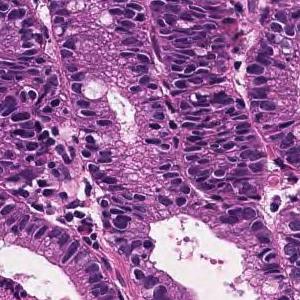
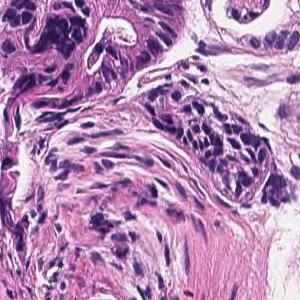
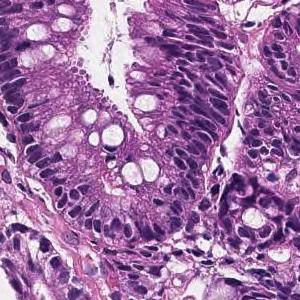
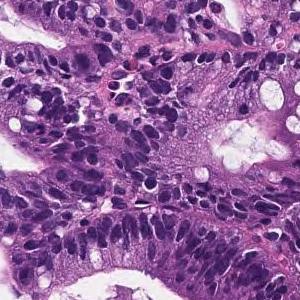
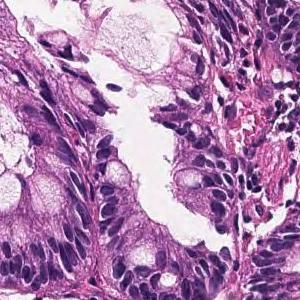
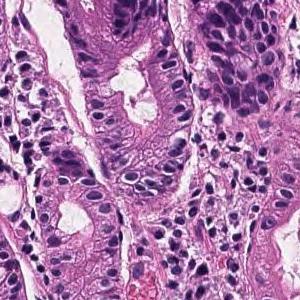
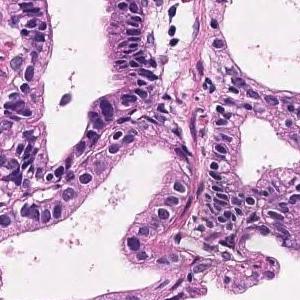
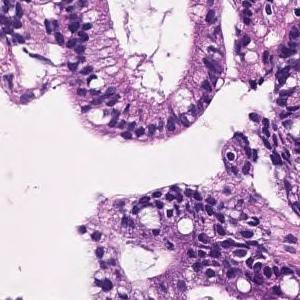
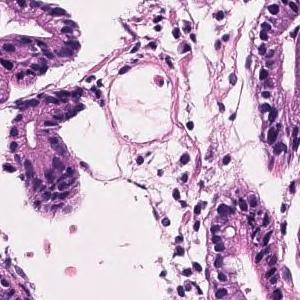
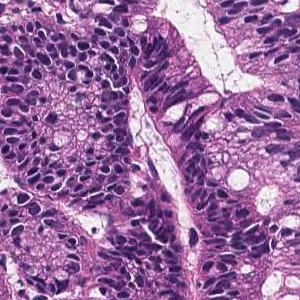
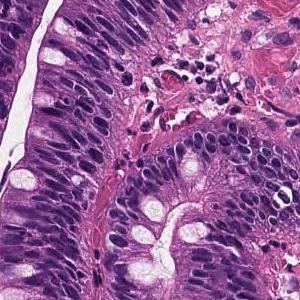
20× magnification; 11 tiles cut from one stomach biopsy slide; 300×300 px each.
Pathology report for the biopsy slide these tiles were cut from. The report and the diagnosis describe the slide as a whole, so these tiles may not show every feature named and may include non-tumor tissue.
Most remain in the superficial epithelium, forming medium-sized papillary or small irregular ducts and proliferating, and some tumor tissue invades the muscularis mucosae. Papillary adenocarcinoma
